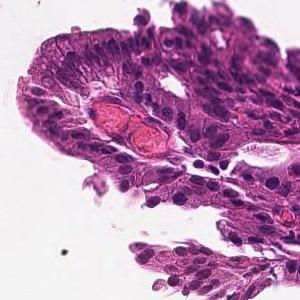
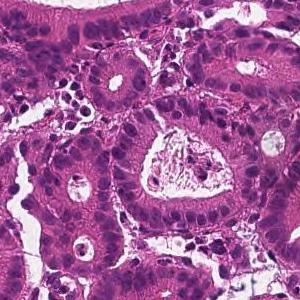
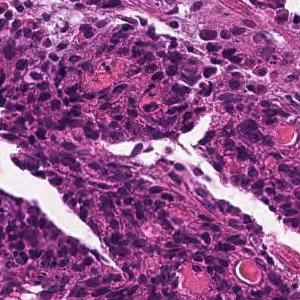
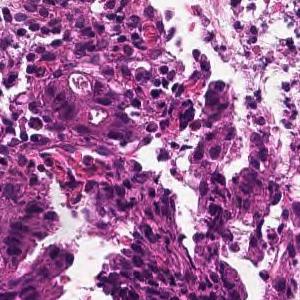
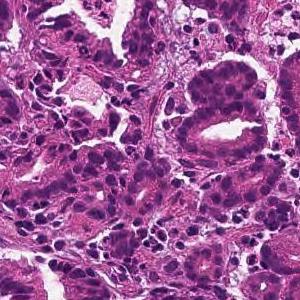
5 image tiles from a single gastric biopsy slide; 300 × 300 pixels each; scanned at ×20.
Report on the slide these tiles come from. What the report and the diagnosis say applies to the whole slide; these tiles may miss some of the features named and may include tissue that is not tumor.
From the superficial epithelium to the muscularis mucosae, tumor tissue consisting of medium-sized and irregular glandular ducts infiltrating is observed. Well differentiated tubular adenocarcinoma
